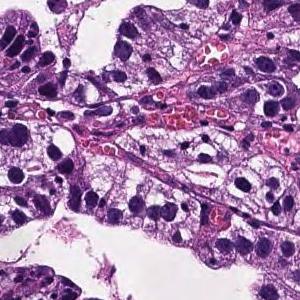
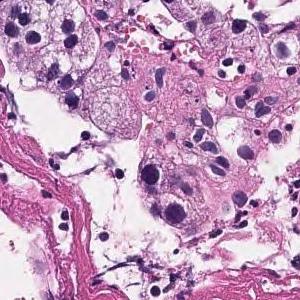
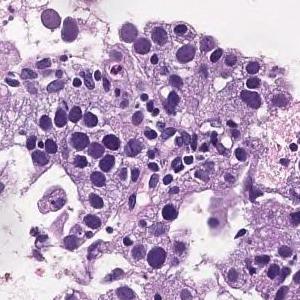
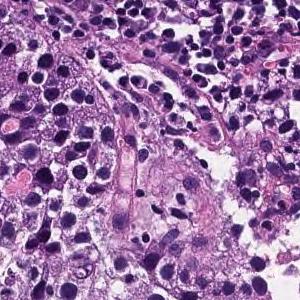
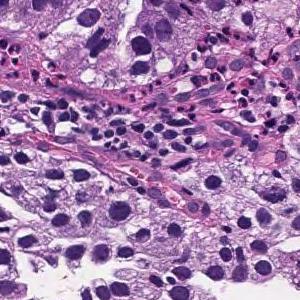
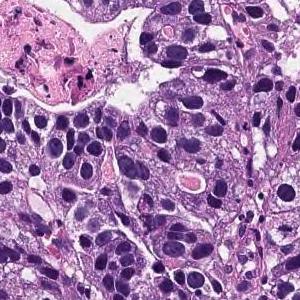
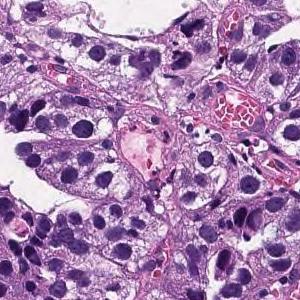
H&E, 7 tiles from the same stomach biopsy slide.
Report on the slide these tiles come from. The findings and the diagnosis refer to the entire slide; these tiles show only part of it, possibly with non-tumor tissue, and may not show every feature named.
On the superficial epithelium, tumor tissue that infiltrates by forming medium-sized papillary or small irregular ducts is observed. Papillary adenocarcinoma
